9 patches cut from one gastric biopsy slide · each 300 × 300 pixels · scanned at ×20 · hematoxylin and eosin stain.
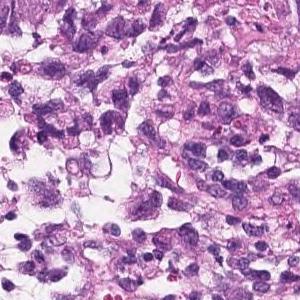
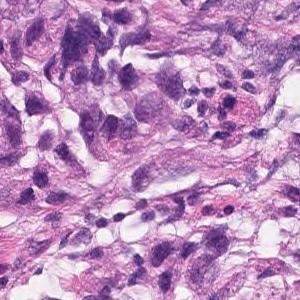
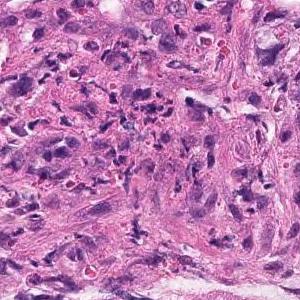
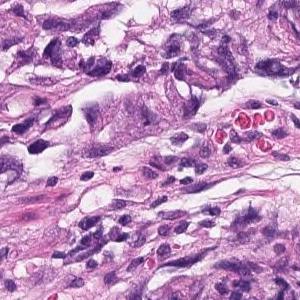
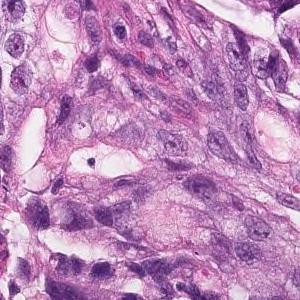
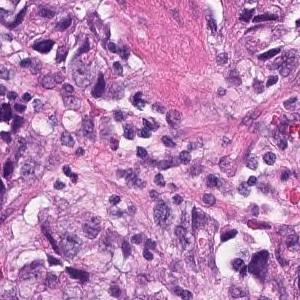
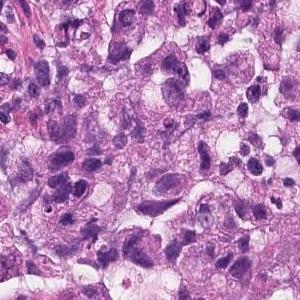
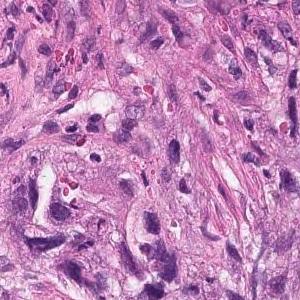
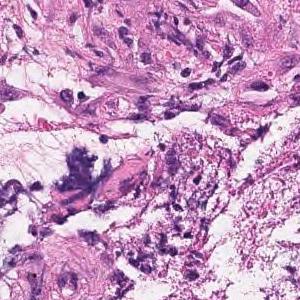
The pathologist's report on the biopsy slide these tiles were taken from. The report and the diagnosis cover the entire slide, so not every feature they name need be visible here, and some tissue shown may not be tumor.
The superficial epithelium shows a large sheet-like shape, and some tumor tissue infiltrates with small irregular ducts. Poorly differentiated adenocarcinoma, solid-type
Classified as poorly differentiated adenocarcinoma, solid type, a category of the Japanese Classification of Gastric Carcinoma; in the WHO 2019 classification it is tubular adenocarcinoma, poorly differentiated.
